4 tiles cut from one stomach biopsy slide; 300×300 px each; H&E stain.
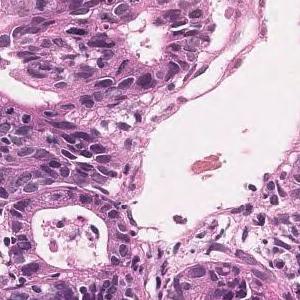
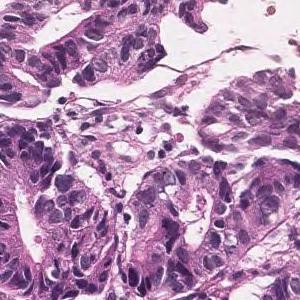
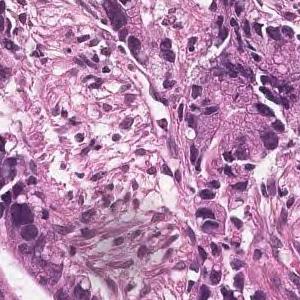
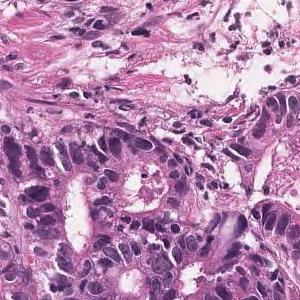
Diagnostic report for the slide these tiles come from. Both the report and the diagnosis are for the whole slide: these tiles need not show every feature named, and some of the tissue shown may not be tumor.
In the superficial epithelium, tumor tissue is found in which medium-sized irregular gland ducts fuse with each other and infiltrate. moderately differentiated tubular adenocarcinoma
